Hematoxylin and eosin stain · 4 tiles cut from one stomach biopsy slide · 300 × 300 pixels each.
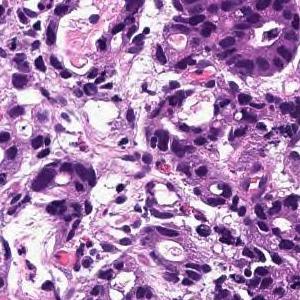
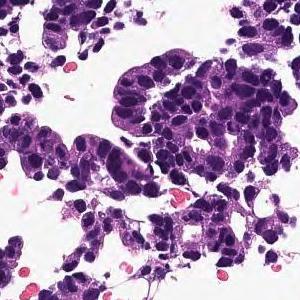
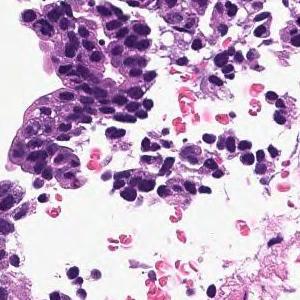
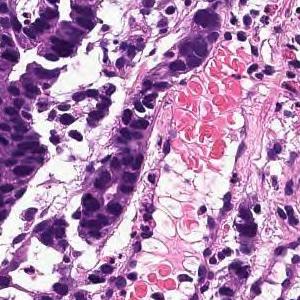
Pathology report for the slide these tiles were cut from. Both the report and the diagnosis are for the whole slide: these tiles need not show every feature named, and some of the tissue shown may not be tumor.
In the superficial epithelium, tumor tissue that invades by forming medium-sized to small, irregular ducts is observed. moderately differentiated tubular adenocarcinoma.
